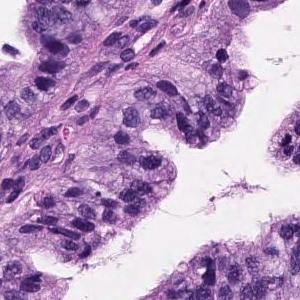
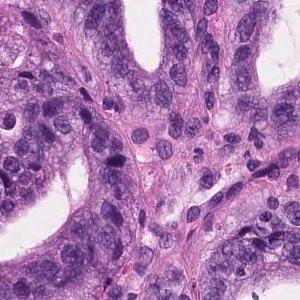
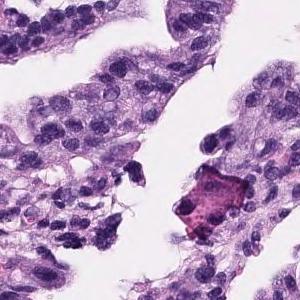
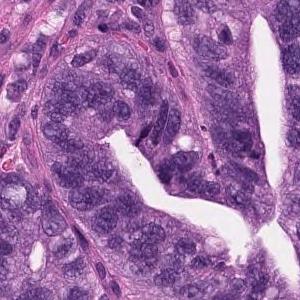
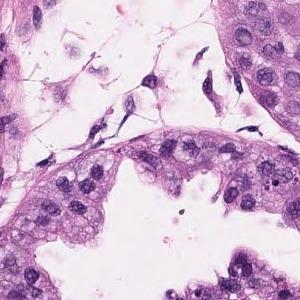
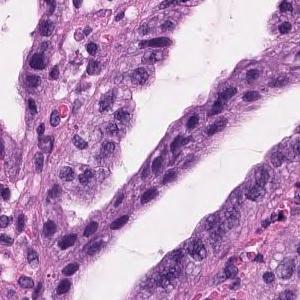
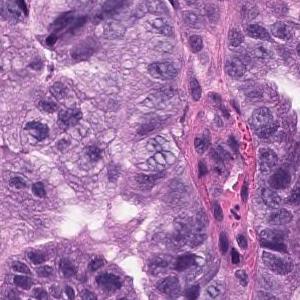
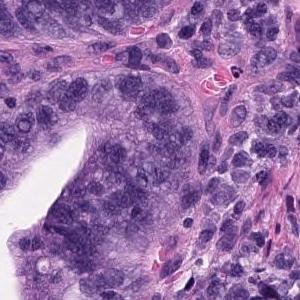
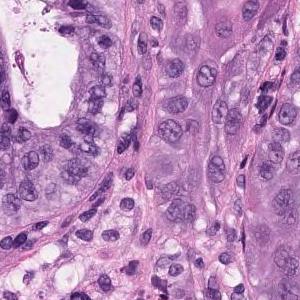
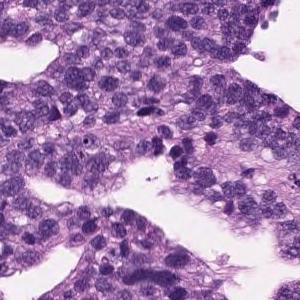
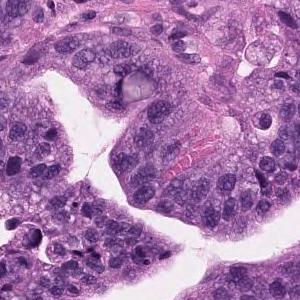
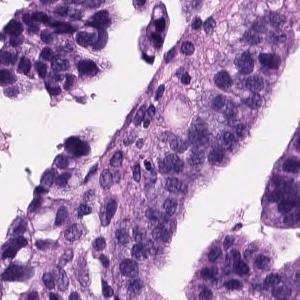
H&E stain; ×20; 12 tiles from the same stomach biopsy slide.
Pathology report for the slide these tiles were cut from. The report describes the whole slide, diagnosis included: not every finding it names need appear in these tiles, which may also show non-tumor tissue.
Tumor cells are large, highly columnar, large club-shaped nuclei, and are associated with chromatin aggregation. Papillary adenocarcinoma.
